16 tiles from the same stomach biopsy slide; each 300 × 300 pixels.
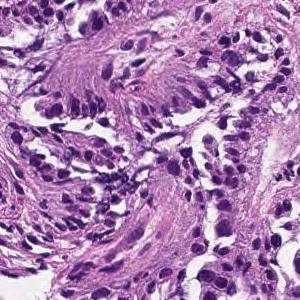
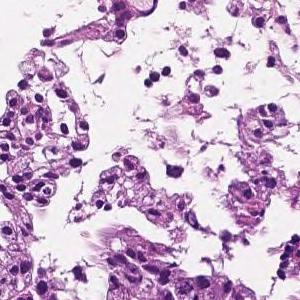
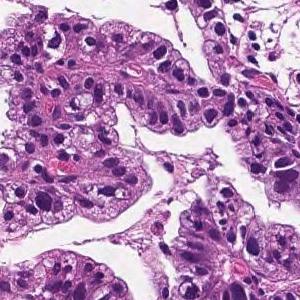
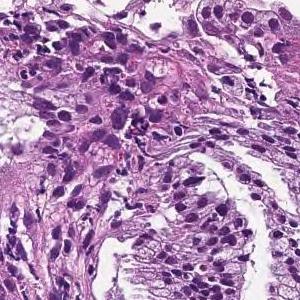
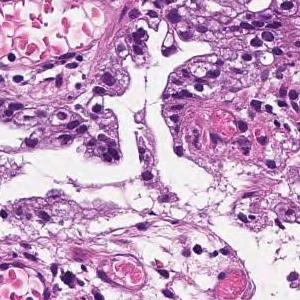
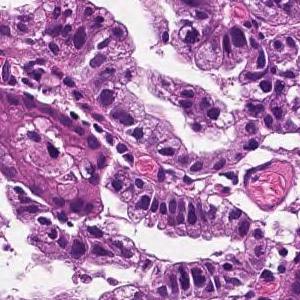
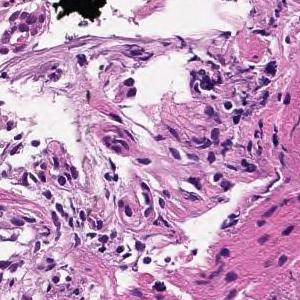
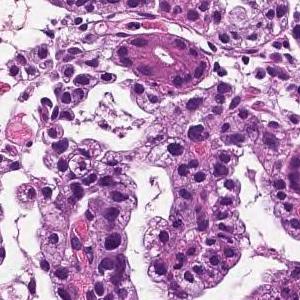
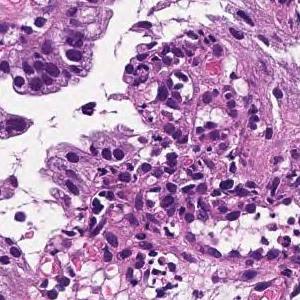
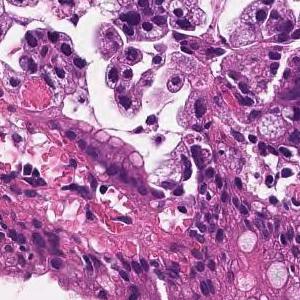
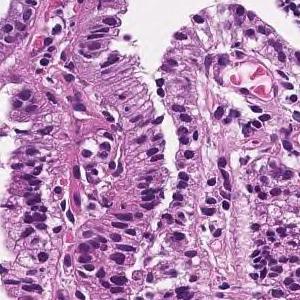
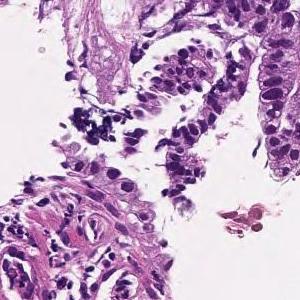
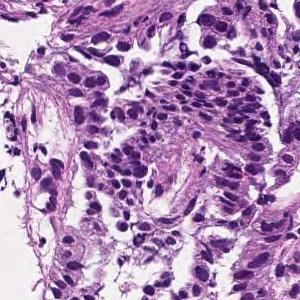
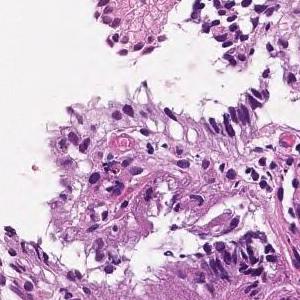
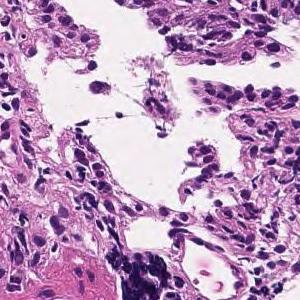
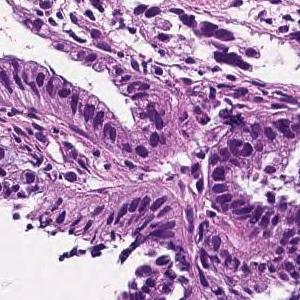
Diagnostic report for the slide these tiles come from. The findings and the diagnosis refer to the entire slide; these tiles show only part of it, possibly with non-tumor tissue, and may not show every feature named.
On the superficial epithelium, tumor tissue that infiltrates by forming medium-sized papillary or small irregular ducts is observed. Papillary adenocarcinoma
